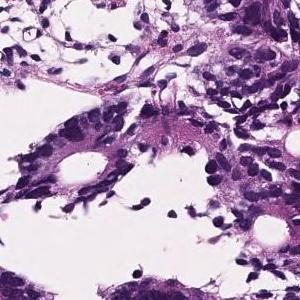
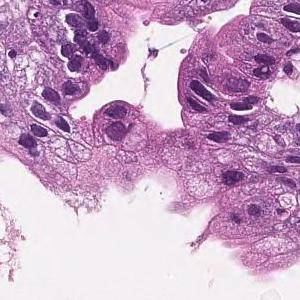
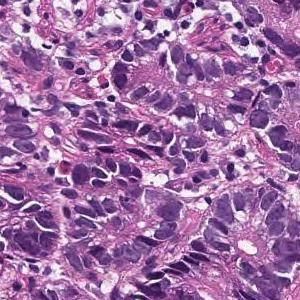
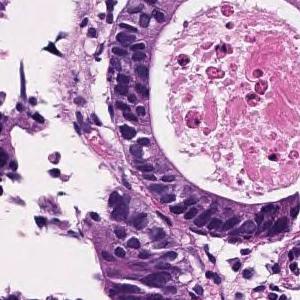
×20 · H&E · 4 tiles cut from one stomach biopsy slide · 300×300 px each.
Pathology report for the biopsy slide these tiles were cut from. What the report and the diagnosis say applies to the whole slide; these tiles may miss some of the features named and may include tissue that is not tumor.
On the superficial epithelium, tumor tissue consisting of large, irregular glandular ducts partially fused and infiltrated is observed. Well to moderately differentiated tubular adenocarcinoma (well differentiated tubular adenocarcinoma, moderately differentiated tubular adenocarcinoma)
Tumor subtype: well to moderately differentiated tubular adenocarcinoma.
